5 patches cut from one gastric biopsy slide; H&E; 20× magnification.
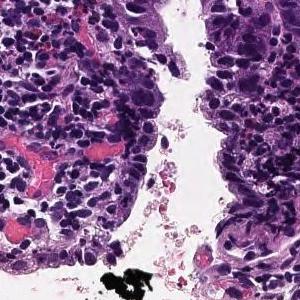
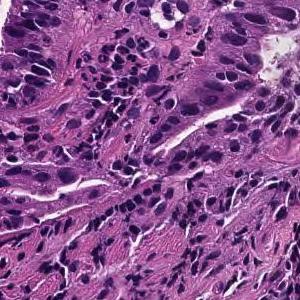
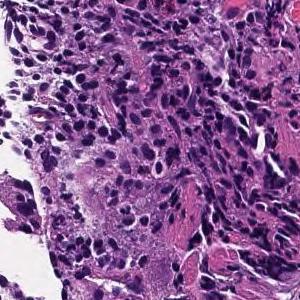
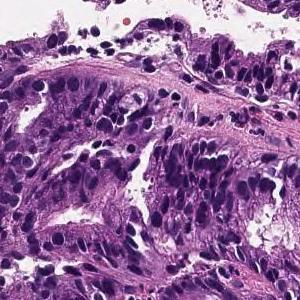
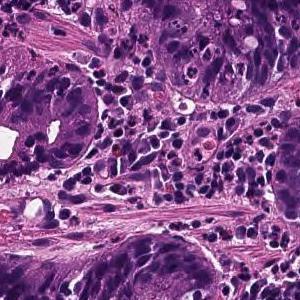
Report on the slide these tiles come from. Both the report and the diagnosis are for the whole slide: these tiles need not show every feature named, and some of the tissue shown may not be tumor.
From the superficial epithelium to the muscularis mucosae, tumor tissue consisting of medium-sized and irregular glandular ducts infiltrating is observed. Well differentiated tubular adenocarcinoma
